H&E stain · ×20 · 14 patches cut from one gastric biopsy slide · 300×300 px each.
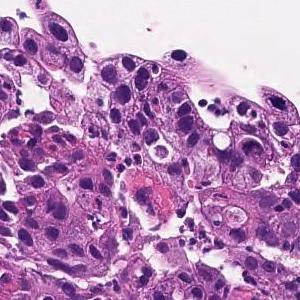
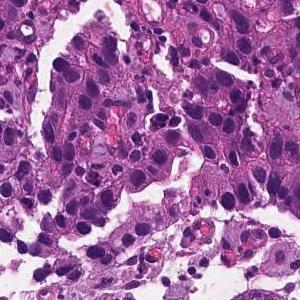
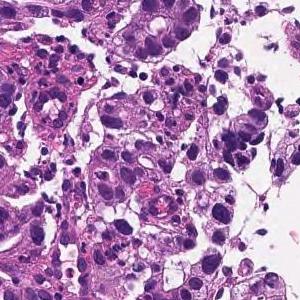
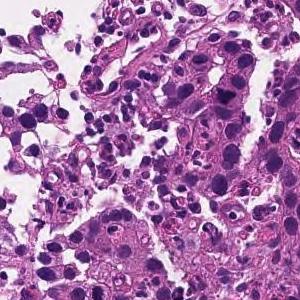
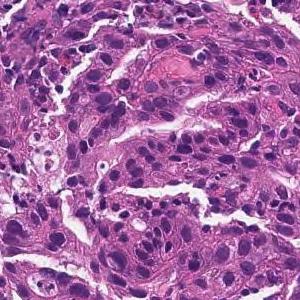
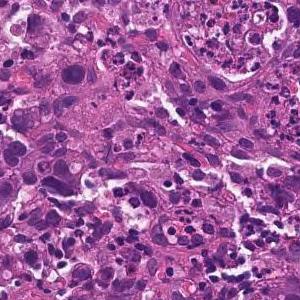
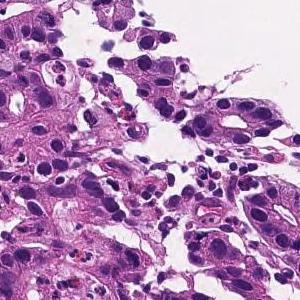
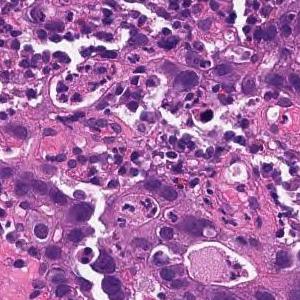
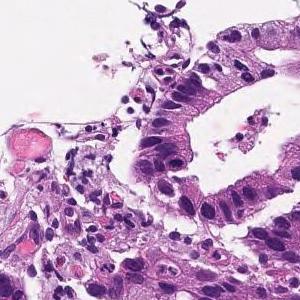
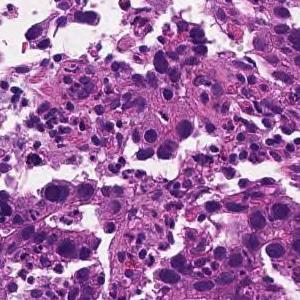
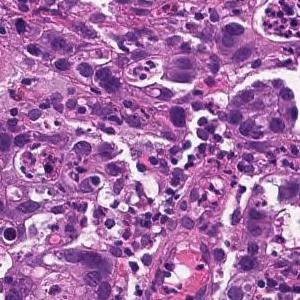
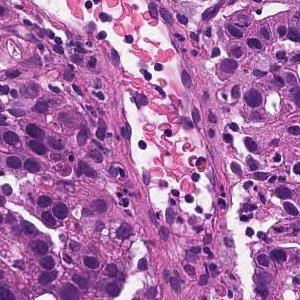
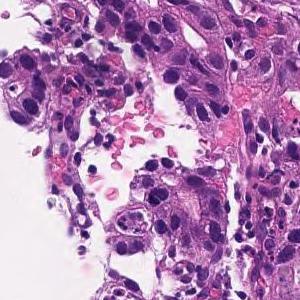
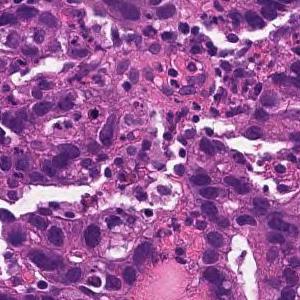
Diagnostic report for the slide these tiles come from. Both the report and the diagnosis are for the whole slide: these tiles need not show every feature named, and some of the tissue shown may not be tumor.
Medium to small, irregular glandular ducts are formed in the superficial epithelium, and in some cases, the glandular ducts are fused to show solid alveolar lesions and infiltrating tumor tissue is observed. Moderately to poorly differentiated adenocarcinoma.
